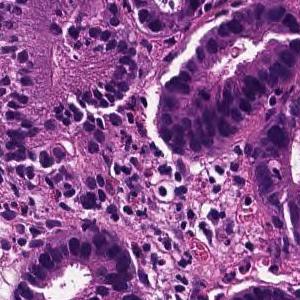
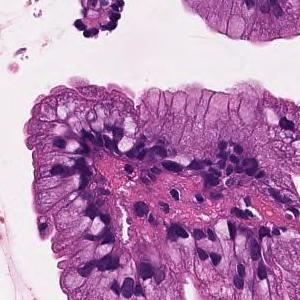
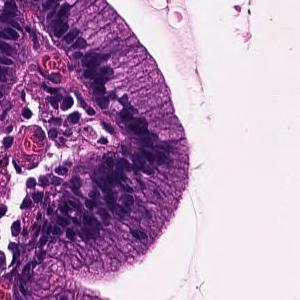
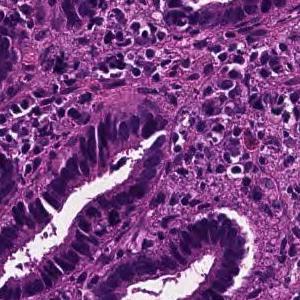
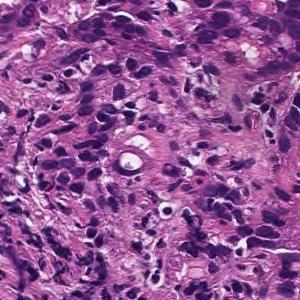
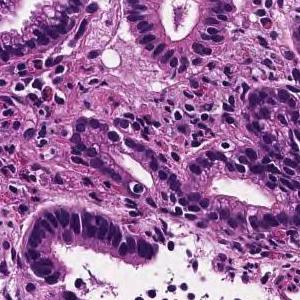
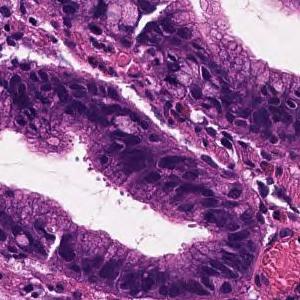
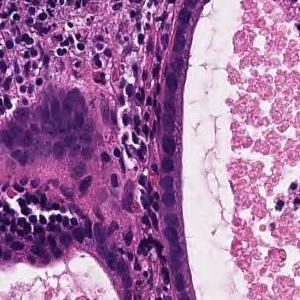
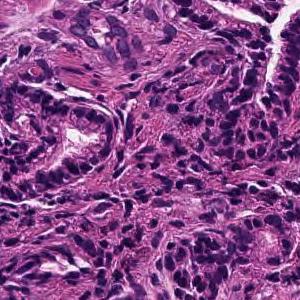
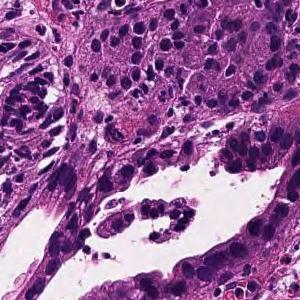
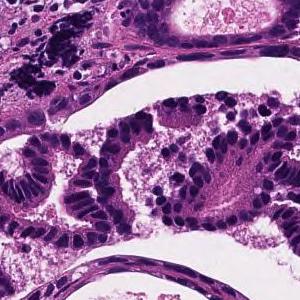
11 tiles cut from one stomach biopsy slide; each 300 × 300 pixels.
Pathology report for the biopsy slide these tiles were cut from. The report describes the whole slide, diagnosis included: not every finding it names need appear in these tiles, which may also show non-tumor tissue.
On the superficial epithelium, tumor tissue consisting of medium-sized and irregular glandular ducts partially fused and infiltrated is observed. Well to moderately differentiated tubular adenocarcinoma (well differentiated tubular adenocarcinoma-moderately differentiated tubular adenocarcinoma)
Histologic type: Well to moderately differentiated tubular adenocarcinoma.
